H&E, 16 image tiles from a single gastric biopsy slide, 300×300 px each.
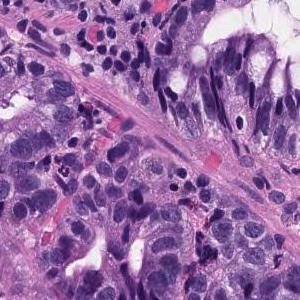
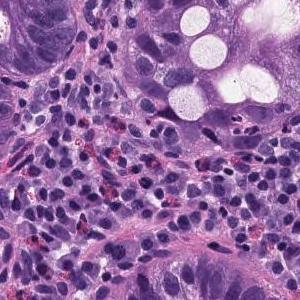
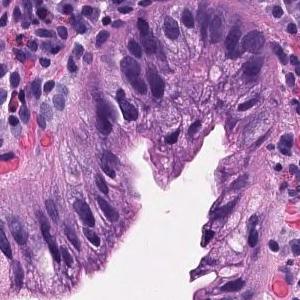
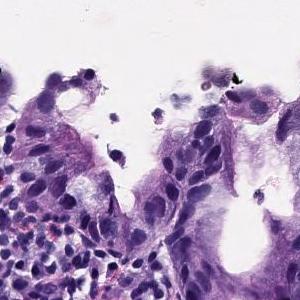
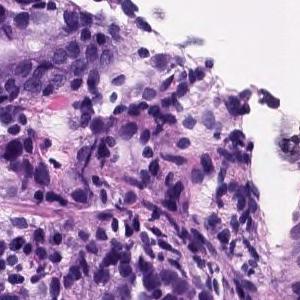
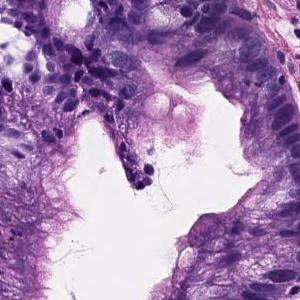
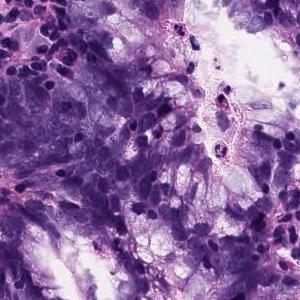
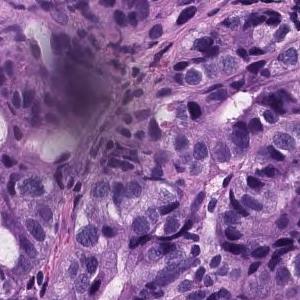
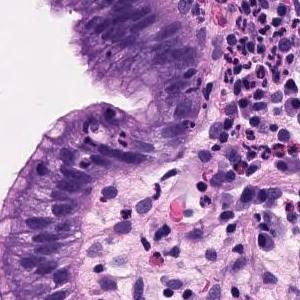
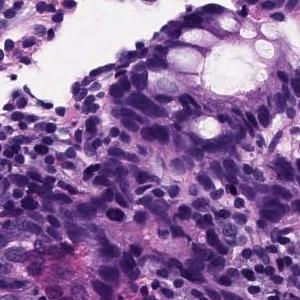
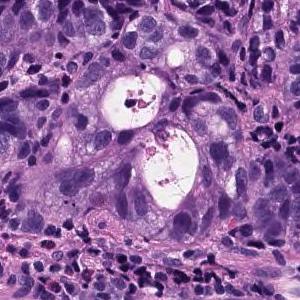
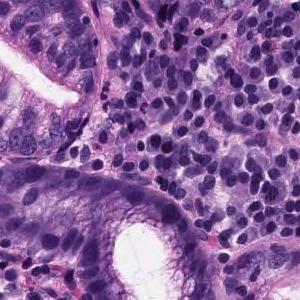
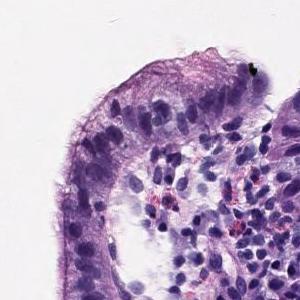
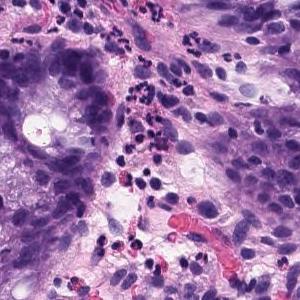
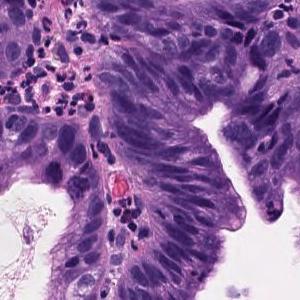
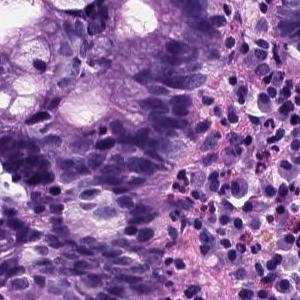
Diagnostic report for the slide these tiles come from. The report and the diagnosis cover the entire slide, so not every feature they name need be visible here, and some tissue shown may not be tumor.
Tumor cells with strong nuclear atypia proliferate invasively, forming small to medium-sized irregular shaped ducts. moderately differentiated tubular adenocarcinoma
